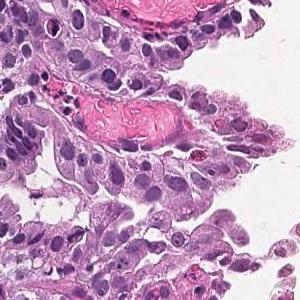
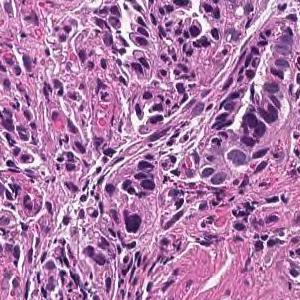
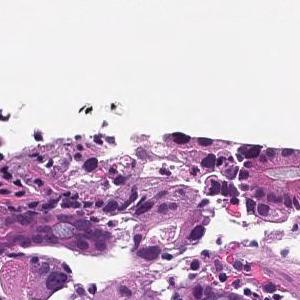
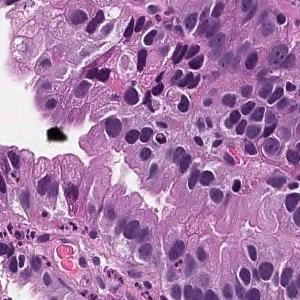
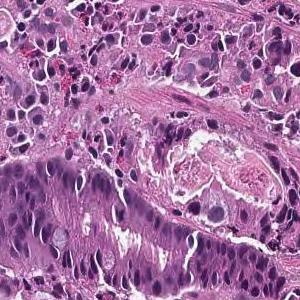
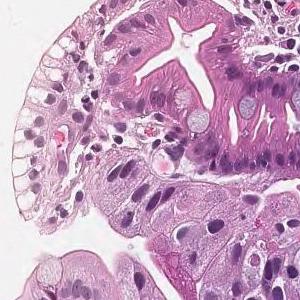
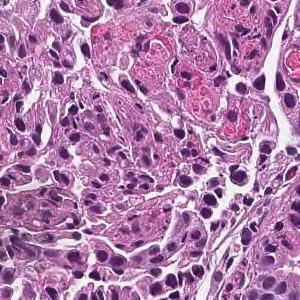
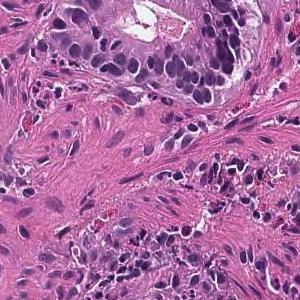
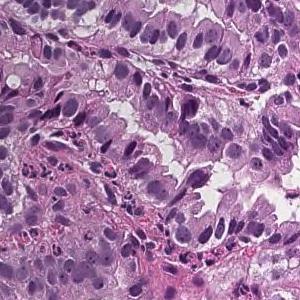
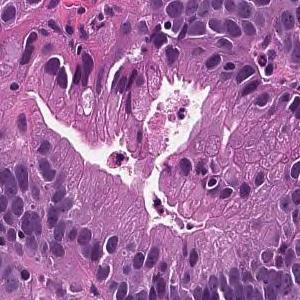
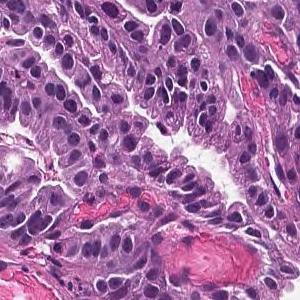
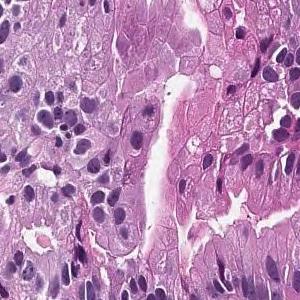
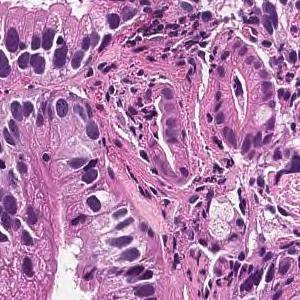
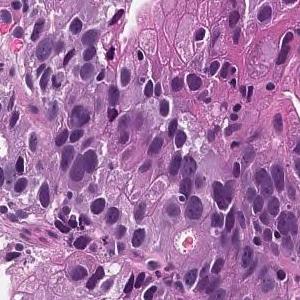
14 patches cut from one gastric biopsy slide; 300 × 300 pixels each; scanned at ×20; H&E stain.
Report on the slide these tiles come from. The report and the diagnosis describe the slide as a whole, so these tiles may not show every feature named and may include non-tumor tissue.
From the superficial epithelium to the muscularis mucosae, tumor tissue consisting of medium-sized and irregular glandular ducts infiltrating is observed. Well differentiated tubular adenocarcinoma
